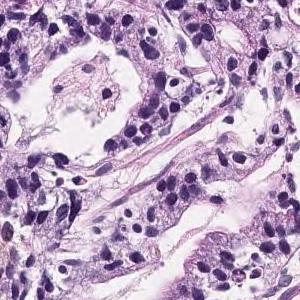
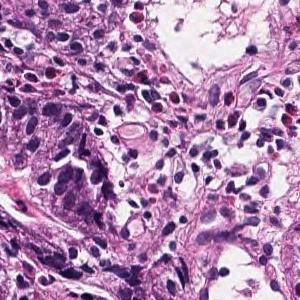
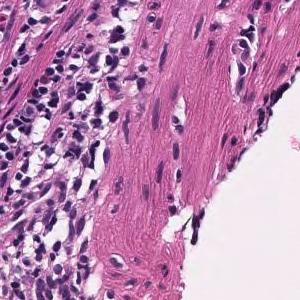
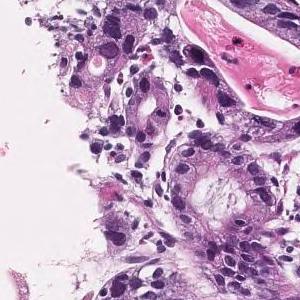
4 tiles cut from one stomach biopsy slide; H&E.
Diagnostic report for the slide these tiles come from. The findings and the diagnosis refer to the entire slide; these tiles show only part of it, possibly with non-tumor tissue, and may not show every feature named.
Tumor tissue consisting of medium-sized and irregular ducts is observed infiltrating in the superficial epithelium. Tumor cells are highly columnar, with nuclei aligned basolaterally and polarized. Well differentiated tubular adenocarcinoma.
